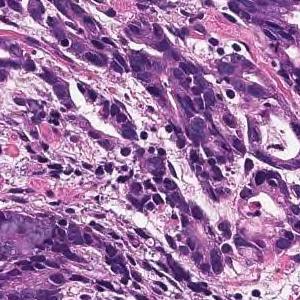
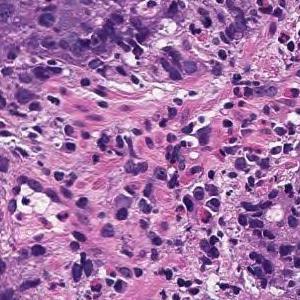
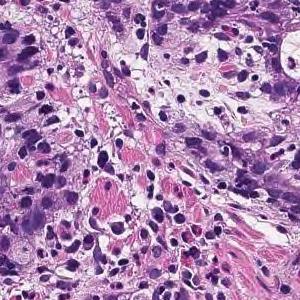
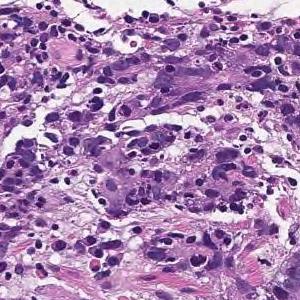
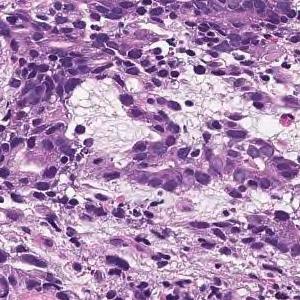
20× magnification; H&E stain; 5 image tiles from a single gastric biopsy slide.
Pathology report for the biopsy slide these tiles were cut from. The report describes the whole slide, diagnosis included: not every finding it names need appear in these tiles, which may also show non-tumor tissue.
Tumor tissue consisting of cord-like or small, irregular glandular ducts fused and infiltrated is observed in the superficial epithelium. Poorly differentiated adenocarcinoma, non-solid type
The non-solid type named here is a Japanese Classification of Gastric Carcinoma category.
